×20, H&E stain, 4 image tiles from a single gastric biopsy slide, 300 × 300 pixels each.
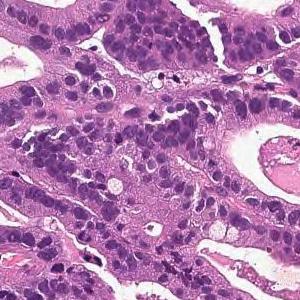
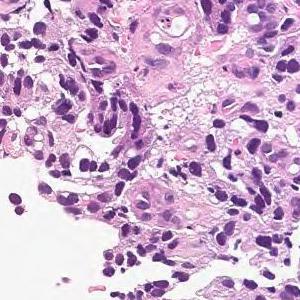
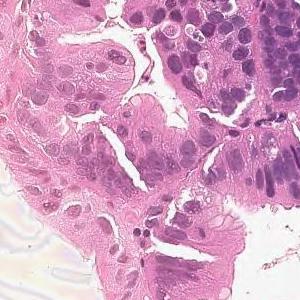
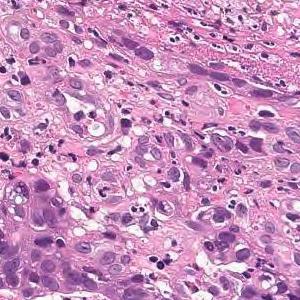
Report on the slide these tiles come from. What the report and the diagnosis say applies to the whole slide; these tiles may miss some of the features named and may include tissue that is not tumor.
From the superficial epithelium to the muscularis mucosae, tumor tissue consisting of medium-sized and irregular glandular ducts infiltrating is observed. Well differentiated tubular adenocarcinoma
